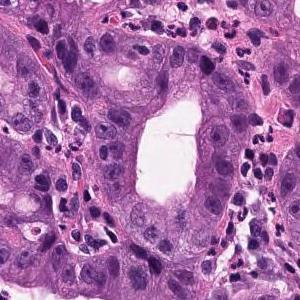
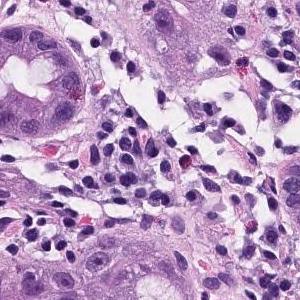
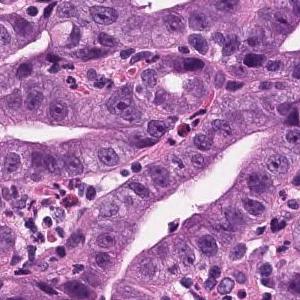
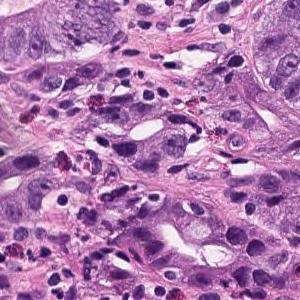
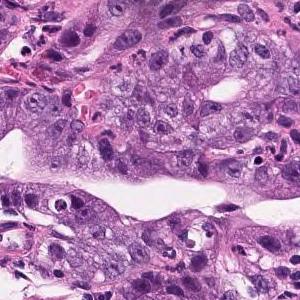
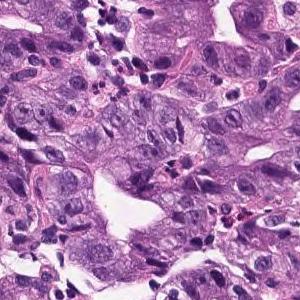
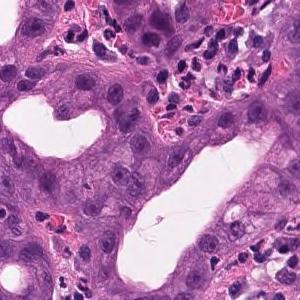
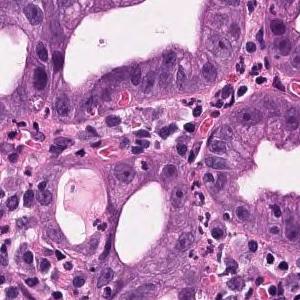
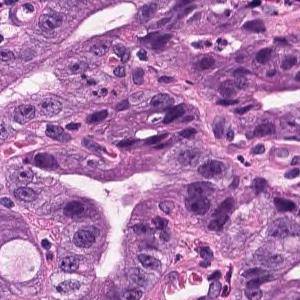
H&E stain; 9 tiles from the same stomach biopsy slide; each 300 × 300 pixels.
Report on the slide these tiles come from. The report and the diagnosis describe the slide as a whole, so these tiles may not show every feature named and may include non-tumor tissue.
In the superficial epithelium, tumor tissue that invades by forming medium-sized to small, irregular ducts is observed. Well to moderately differentiated adenocarcinoma (well differentiated tubular adenocarcinoma, moderately differentiated tubular adenocarcinoma).
Histological subtype: Well to moderately differentiated tubular adenocarcinoma.
